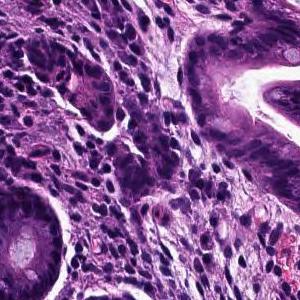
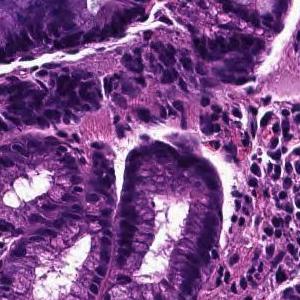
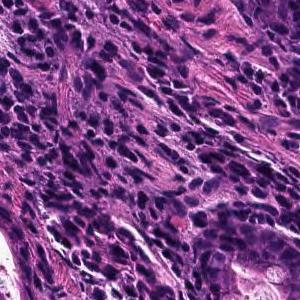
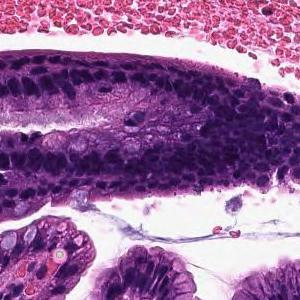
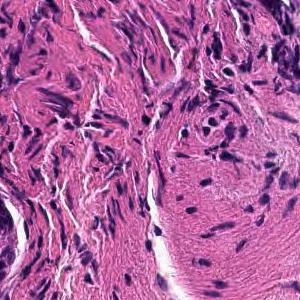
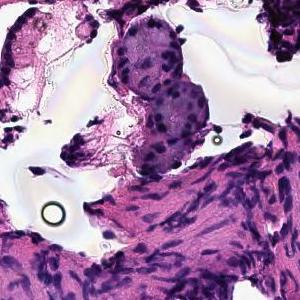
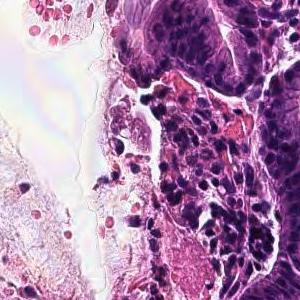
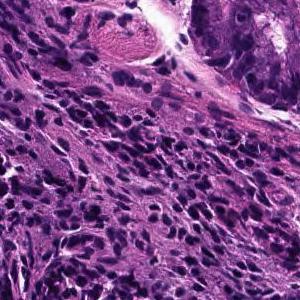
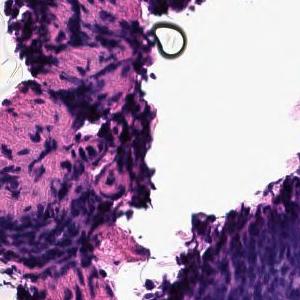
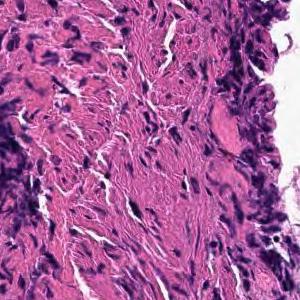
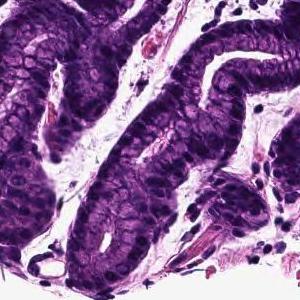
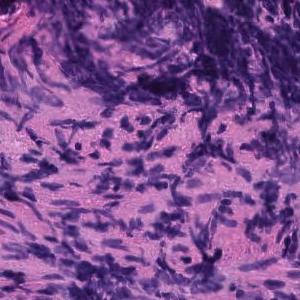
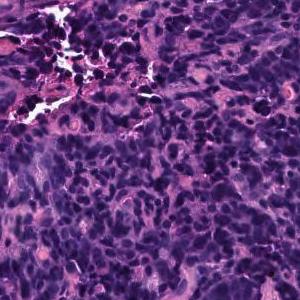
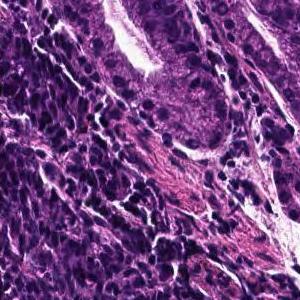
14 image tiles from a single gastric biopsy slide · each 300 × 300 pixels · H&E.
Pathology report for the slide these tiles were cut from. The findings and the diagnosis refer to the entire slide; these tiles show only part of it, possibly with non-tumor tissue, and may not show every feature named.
The superficial epithelium shows a large sheet-like shape, and some tumor tissue infiltrates with small irregular ducts. Poorly differentiated adenocarcinoma, solid-type
Classified as poorly differentiated adenocarcinoma, solid type (Japanese Classification of Gastric Carcinoma). The WHO 2019 equivalent is tubular adenocarcinoma, poorly differentiated.
